×20 · hematoxylin and eosin stain · 8 image tiles from a single gastric biopsy slide · 300 × 300 pixels each.
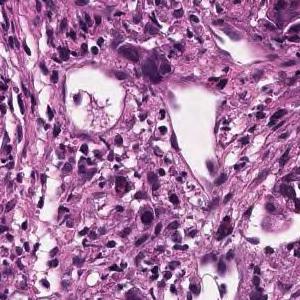
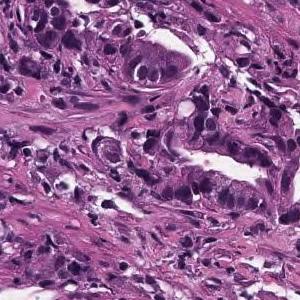
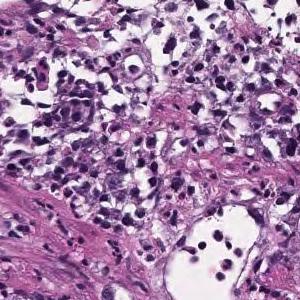
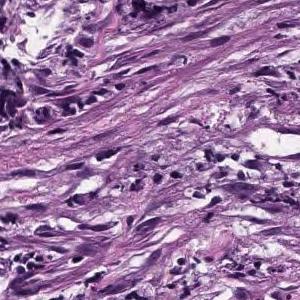
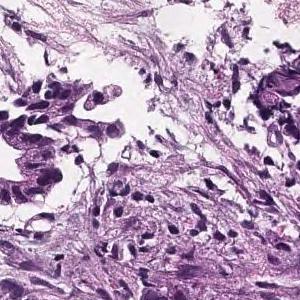
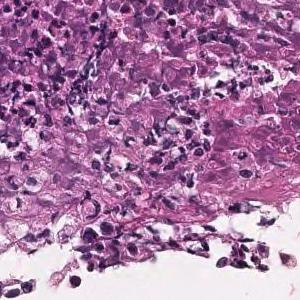
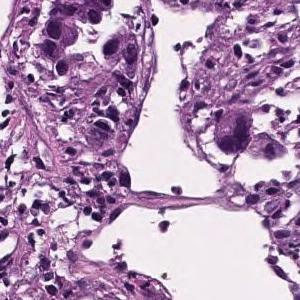
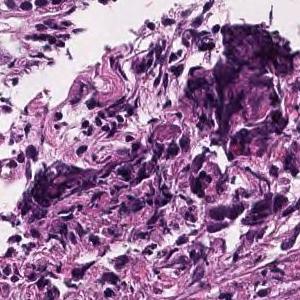
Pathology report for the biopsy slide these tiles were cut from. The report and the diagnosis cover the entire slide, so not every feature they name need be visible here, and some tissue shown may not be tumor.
In the superficial epithelium, tumor tissue that invades by forming medium-sized to small, irregular ducts is observed. moderately differentiated tubular adenocarcinoma.
